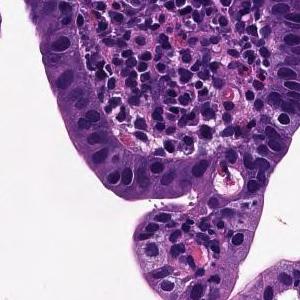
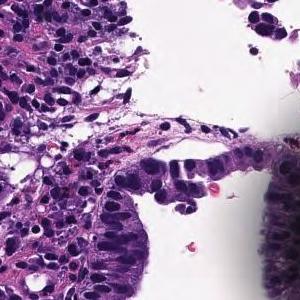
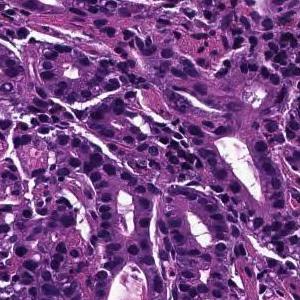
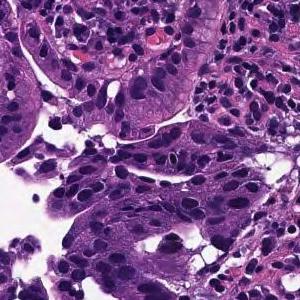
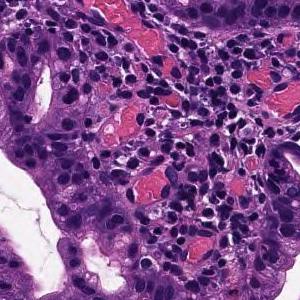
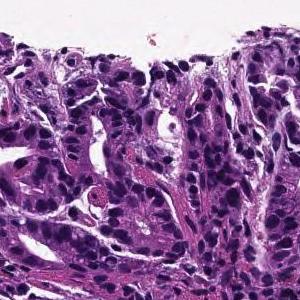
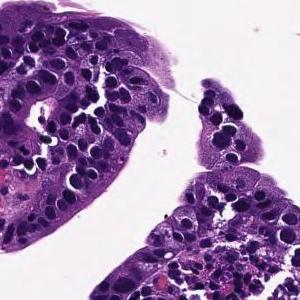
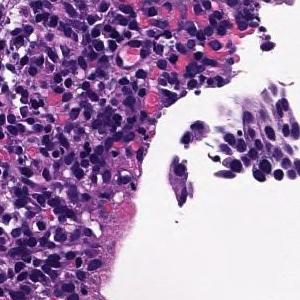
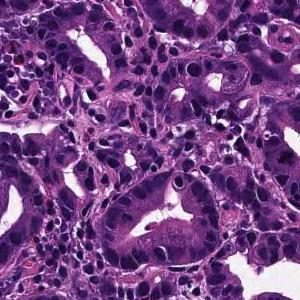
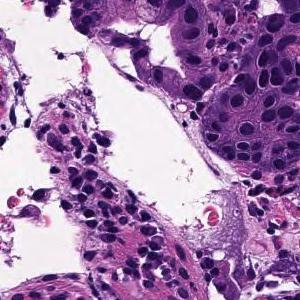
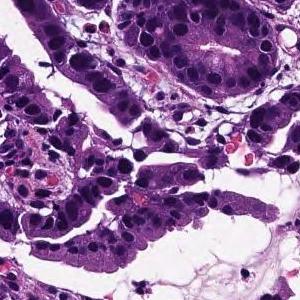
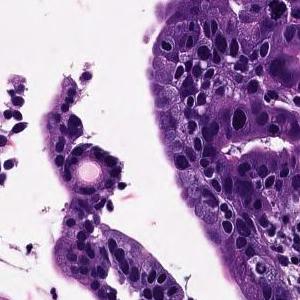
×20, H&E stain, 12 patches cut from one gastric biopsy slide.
Pathology report for the biopsy slide these tiles were cut from. The report describes the whole slide, diagnosis included: not every finding it names need appear in these tiles, which may also show non-tumor tissue.
From the superficial epithelium to the muscularis mucosae, tumor tissue consisting of medium-sized and irregular glandular ducts infiltrating is observed. Well differentiated tubular adenocarcinoma
